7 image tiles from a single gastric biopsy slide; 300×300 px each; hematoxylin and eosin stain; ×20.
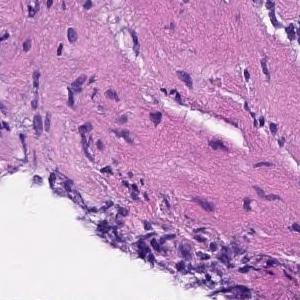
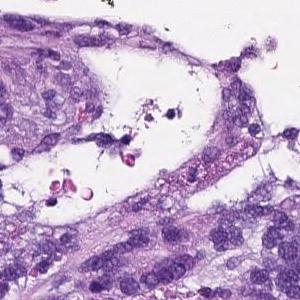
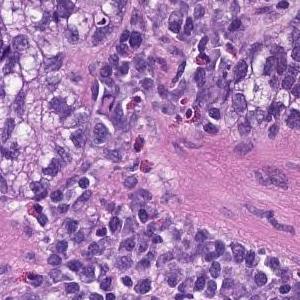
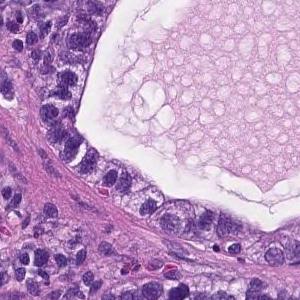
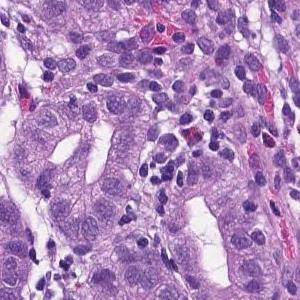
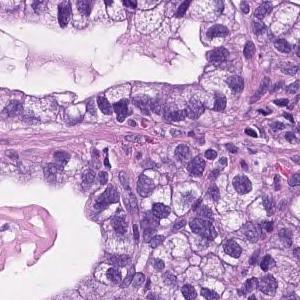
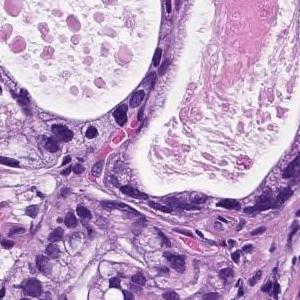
The pathologist's report on the biopsy slide these tiles were taken from. The report and the diagnosis describe the slide as a whole, so these tiles may not show every feature named and may include non-tumor tissue.
From the superficial epithelium to the muscularis mucosae, tumor tissue consisting of medium-sized and irregular glandular ducts infiltrating is observed. Well differentiated tubular adenocarcinoma
